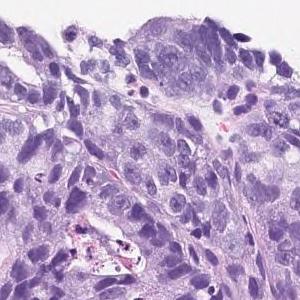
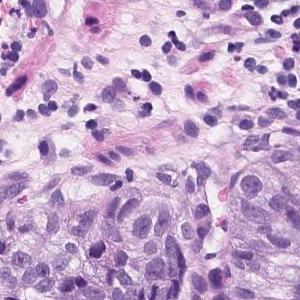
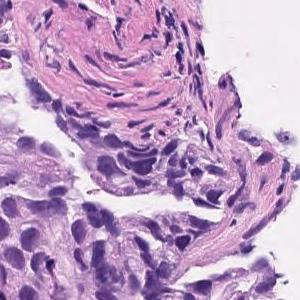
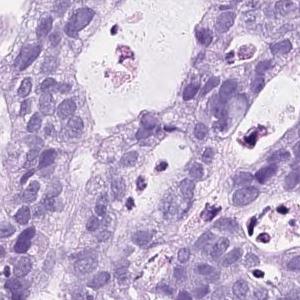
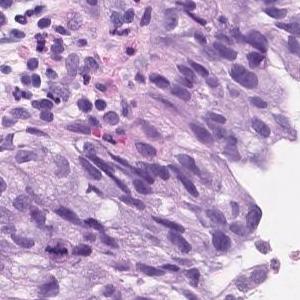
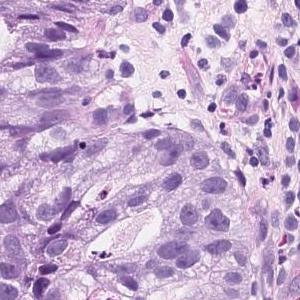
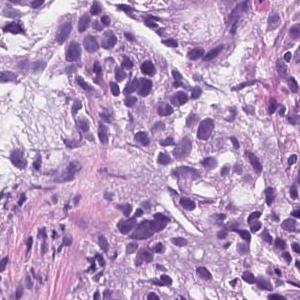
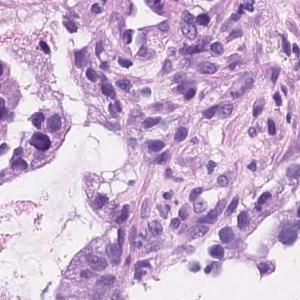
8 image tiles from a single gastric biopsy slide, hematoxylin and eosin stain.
Pathology report for the biopsy slide these tiles were cut from. The report describes the whole slide, diagnosis included: not every finding it names need appear in these tiles, which may also show non-tumor tissue.
On the superficial epithelium, tumor tissue consisting of an image of large, irregular glandular ducts partially fused and infiltrated is observed. Well to moderately differentiated tubular adenocarcinoma
